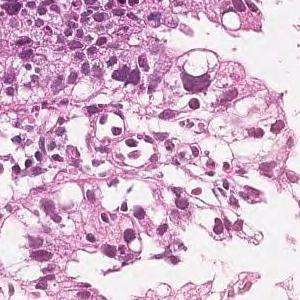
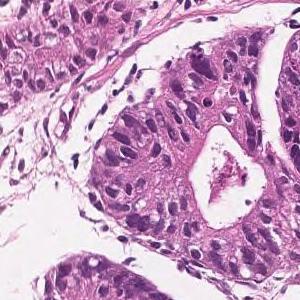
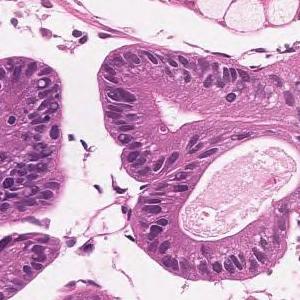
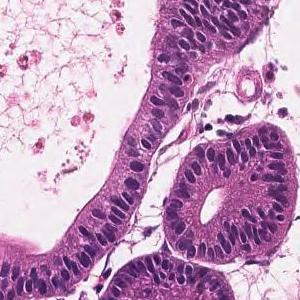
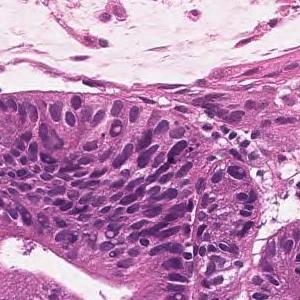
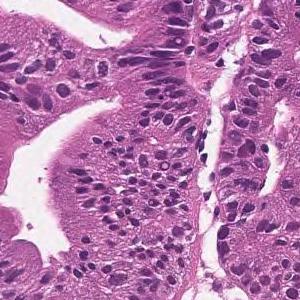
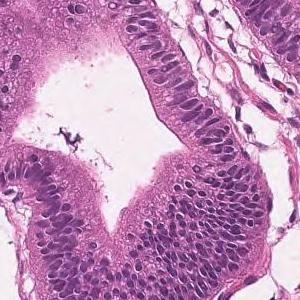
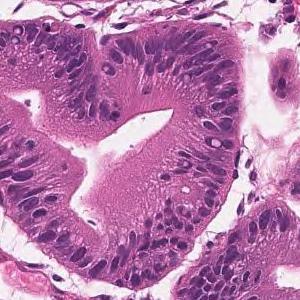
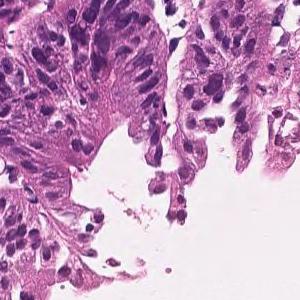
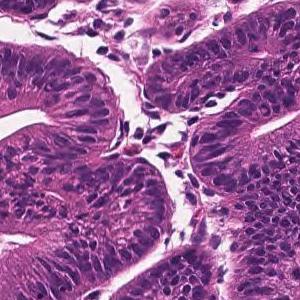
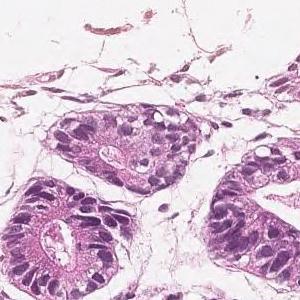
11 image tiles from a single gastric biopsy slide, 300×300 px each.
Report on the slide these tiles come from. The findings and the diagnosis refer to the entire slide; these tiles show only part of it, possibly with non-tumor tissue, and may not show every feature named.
In the superficial epithelium, tumor tissue that invades by forming medium-sized to small, irregular ducts is observed. Well differentiated tubular adenocarcinoma.
